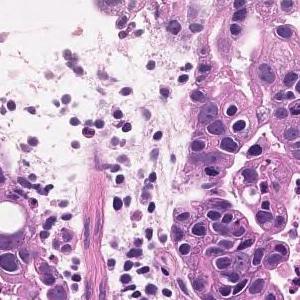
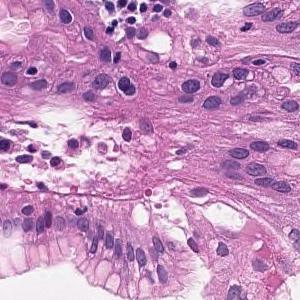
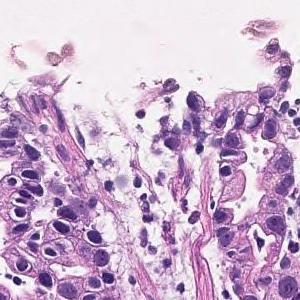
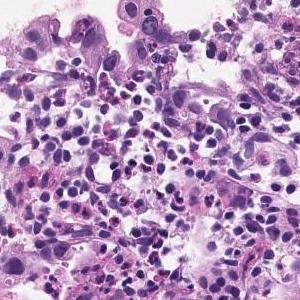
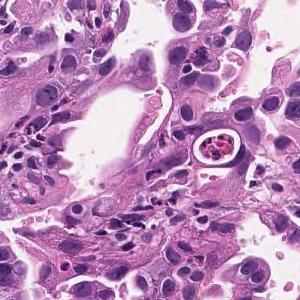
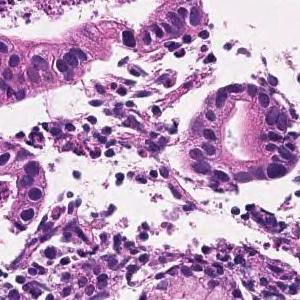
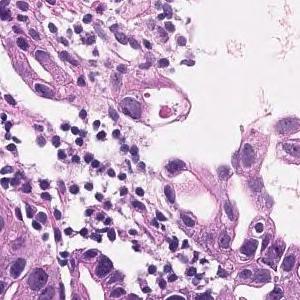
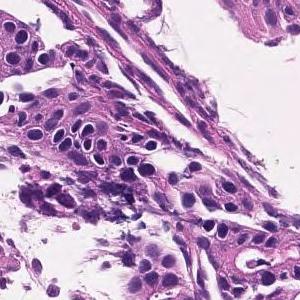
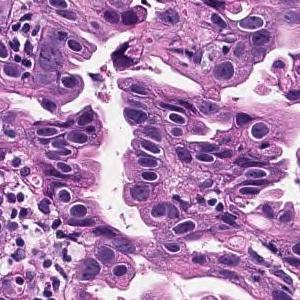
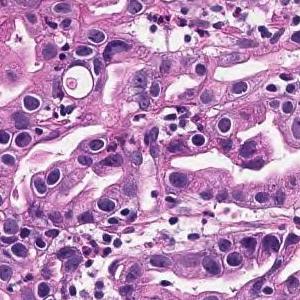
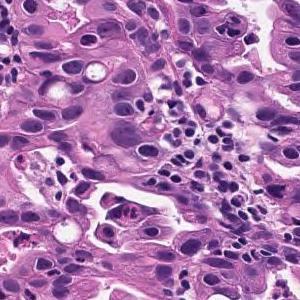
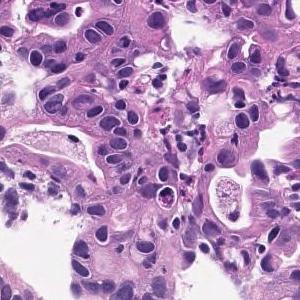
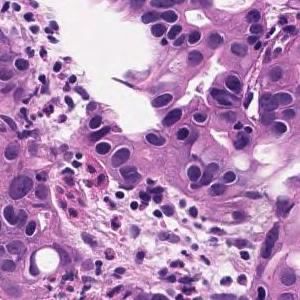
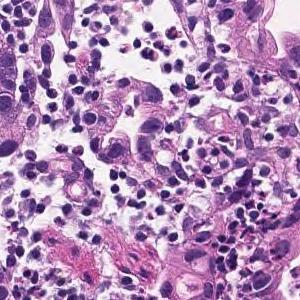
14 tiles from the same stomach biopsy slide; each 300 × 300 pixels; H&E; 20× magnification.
Pathology report for the slide these tiles were cut from. The findings and the diagnosis refer to the entire slide; these tiles show only part of it, possibly with non-tumor tissue, and may not show every feature named.
In the superficial epithelium, tumor tissue that invades by forming medium-sized to small, irregular ducts is observed. moderately differentiated tubular adenocarcinoma.
